H&E, 6 patches cut from one gastric biopsy slide, 300×300 px each.
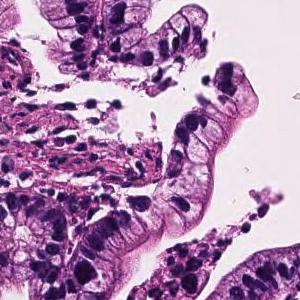
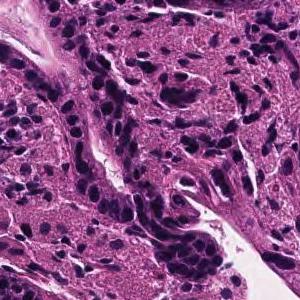
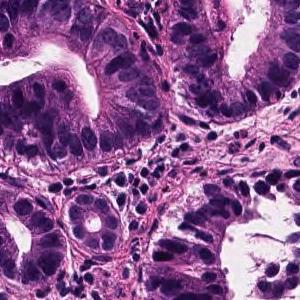
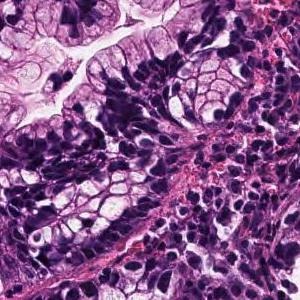
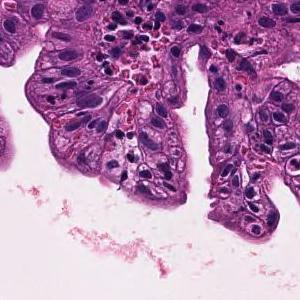
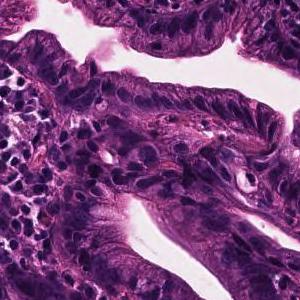
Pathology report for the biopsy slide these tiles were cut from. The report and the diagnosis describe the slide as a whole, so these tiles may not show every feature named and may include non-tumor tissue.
Tumor cells are large, highly columnar, large club-shaped nuclei, and are associated with chromatin aggregation. Papillary adenocarcinoma.
